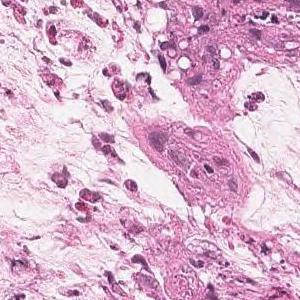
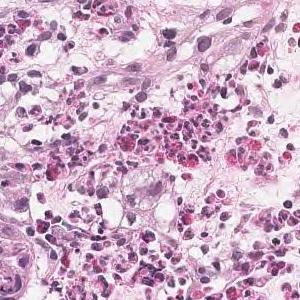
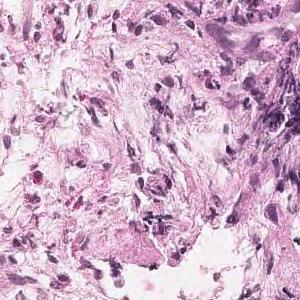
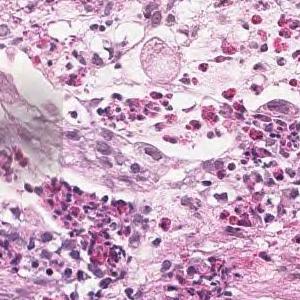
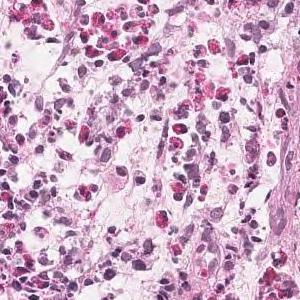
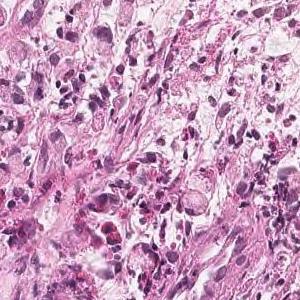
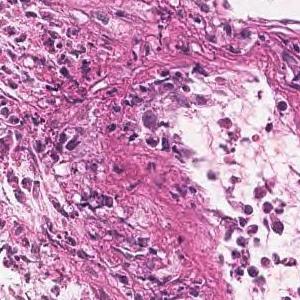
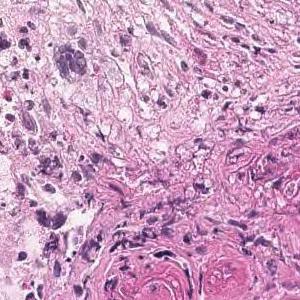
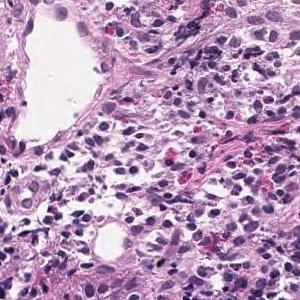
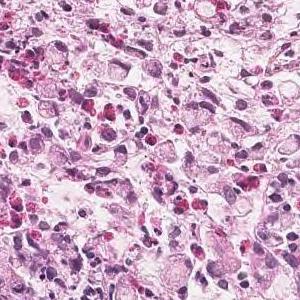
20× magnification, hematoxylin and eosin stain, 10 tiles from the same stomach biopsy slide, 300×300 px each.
Pathology report for the biopsy slide these tiles were cut from. The report and the diagnosis describe the slide as a whole, so these tiles may not show every feature named and may include non-tumor tissue.
Tumor tissue is observed in which atypical epithelial cells with mucus in the vesicles proliferate while being isolated. Signet ring cell carcinoma
